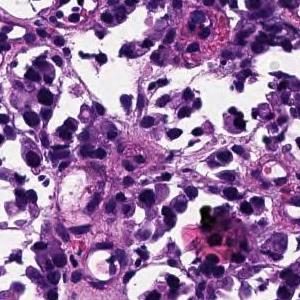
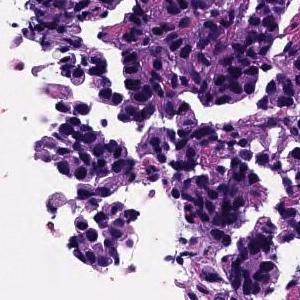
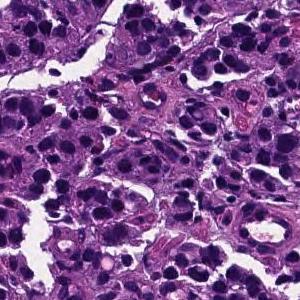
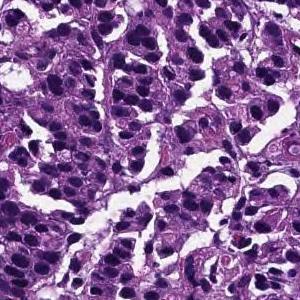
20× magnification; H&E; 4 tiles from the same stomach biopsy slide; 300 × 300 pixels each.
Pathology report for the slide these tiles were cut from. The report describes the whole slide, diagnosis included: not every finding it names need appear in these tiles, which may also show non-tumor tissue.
The superficial epithelium shows a large alveolar shape and infiltrates tumor tissue. Poorly differentiated adenocarcinoma, solid-type
Subtype: Poorly differentiated adenocarcinoma, solid type (Japanese Classification of Gastric Carcinoma). The WHO 2019 equivalent is tubular adenocarcinoma, poorly differentiated.
